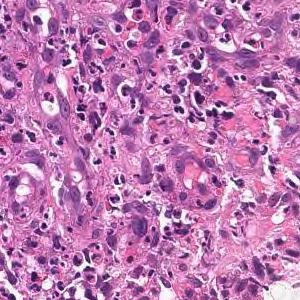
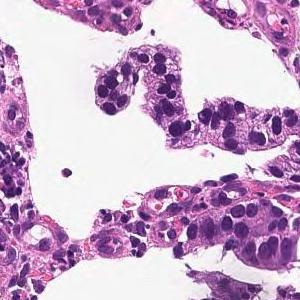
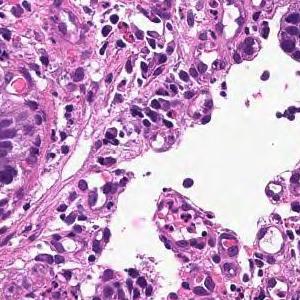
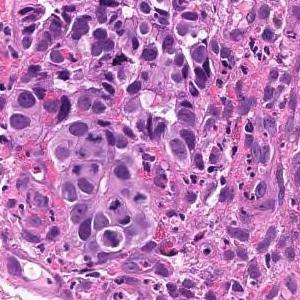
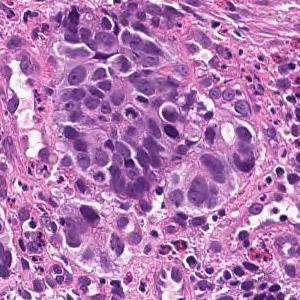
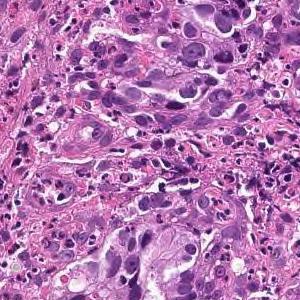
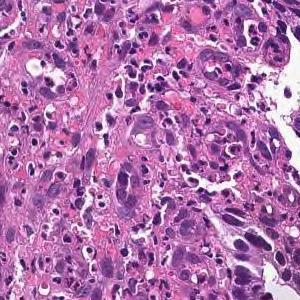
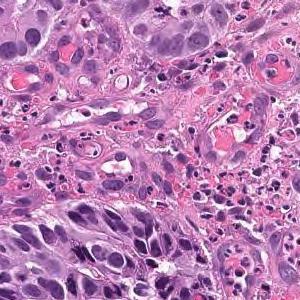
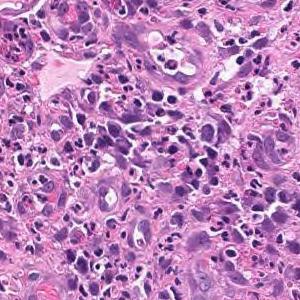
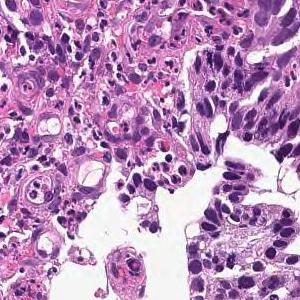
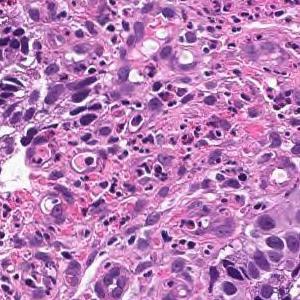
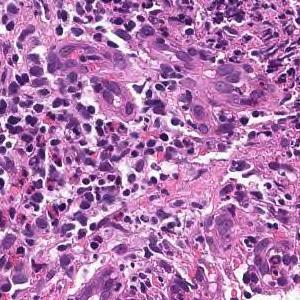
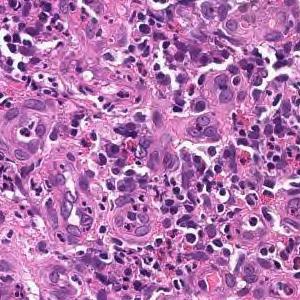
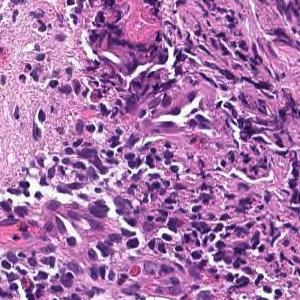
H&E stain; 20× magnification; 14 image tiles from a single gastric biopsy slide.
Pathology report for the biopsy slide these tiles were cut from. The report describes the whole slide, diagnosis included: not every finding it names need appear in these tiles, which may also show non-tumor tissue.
On the superficial epithelium, tumor tissue consisting of large irregular glandular ducts partially fused and infiltrated is observed. Well to moderately differentiated tubular adenocarcinoma (well differentiated tubular adenocarcinoma, moderately differentiated tubular adenocarcinoma)
Histological subtype: Well to moderately differentiated tubular adenocarcinoma.
